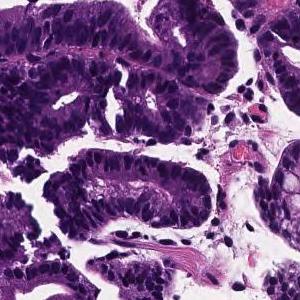
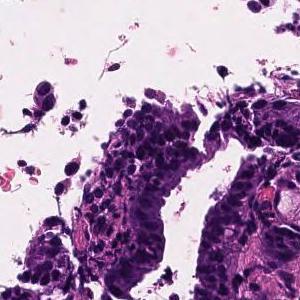
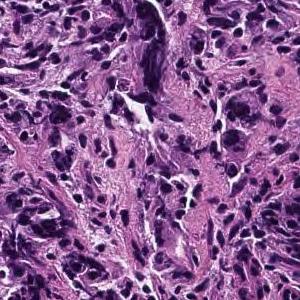
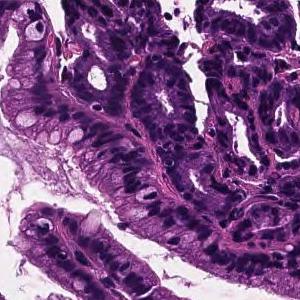
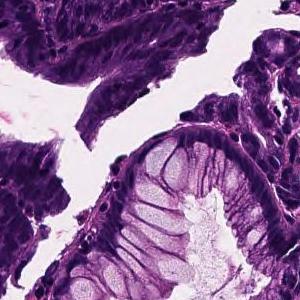
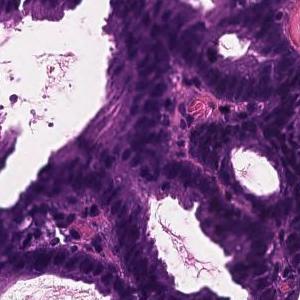
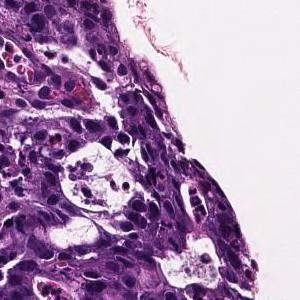
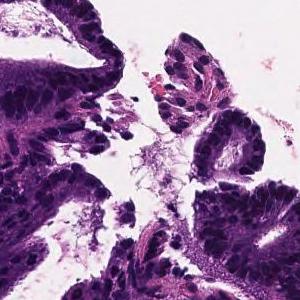
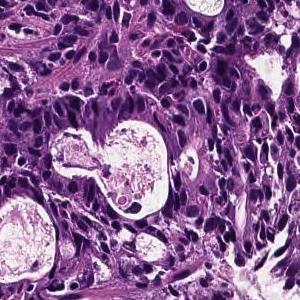
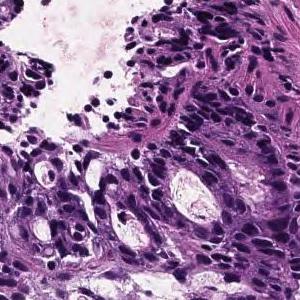
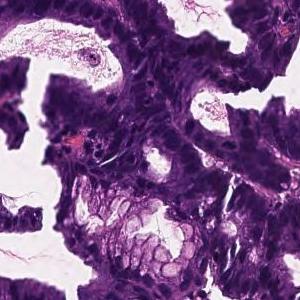
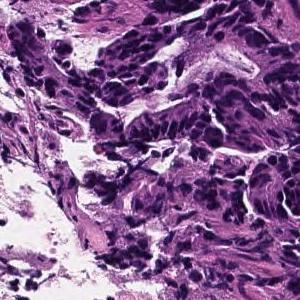
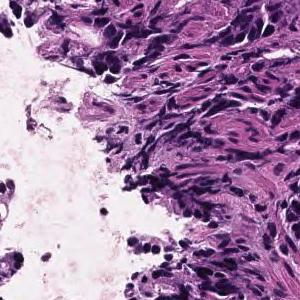
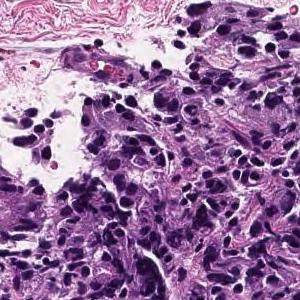
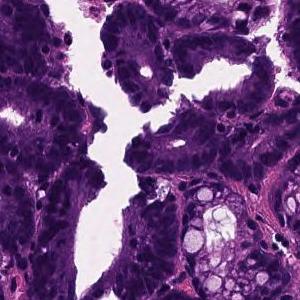
15 image tiles from a single gastric biopsy slide; hematoxylin and eosin stain; 20× magnification.
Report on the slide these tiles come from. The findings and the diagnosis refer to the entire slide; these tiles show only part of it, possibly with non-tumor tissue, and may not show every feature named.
In the superficial epithelium, tumor tissue that invades by forming medium-sized to small, irregular ducts is observed. moderately differentiated tubular adenocarcinoma.
